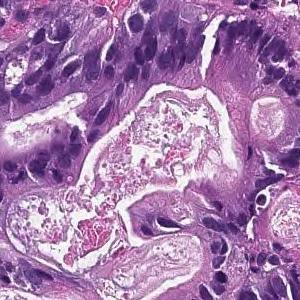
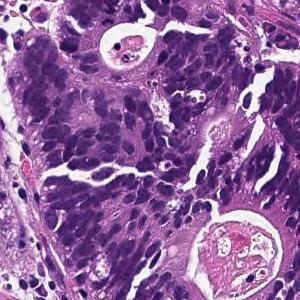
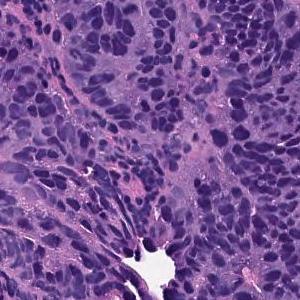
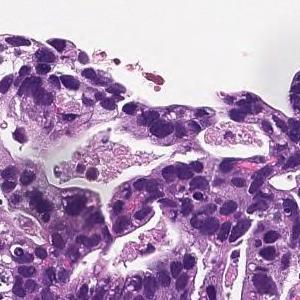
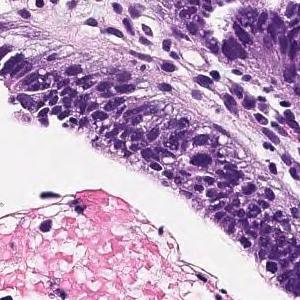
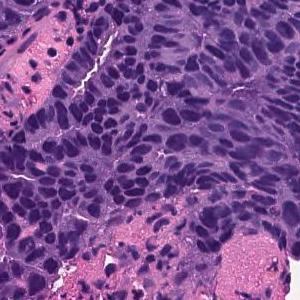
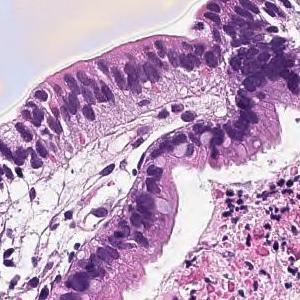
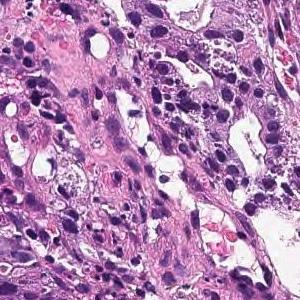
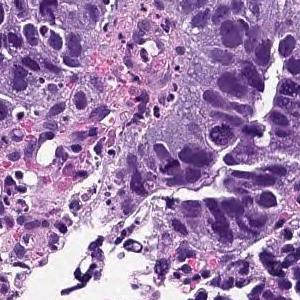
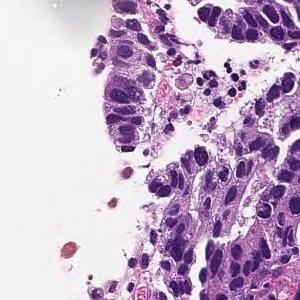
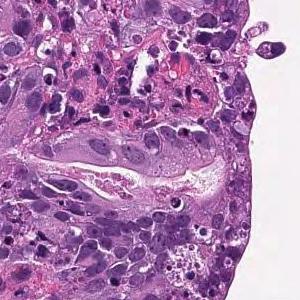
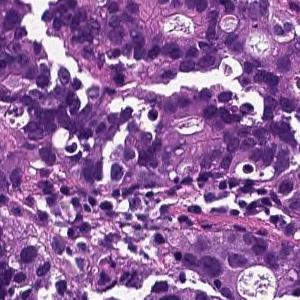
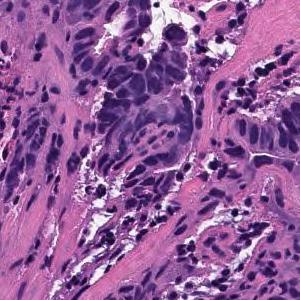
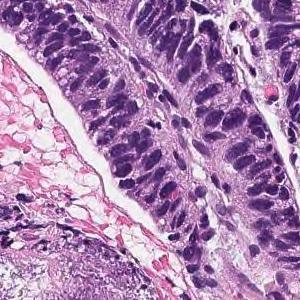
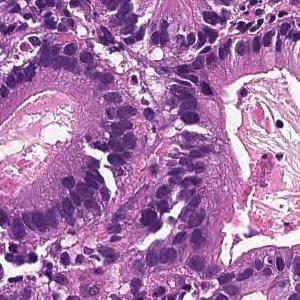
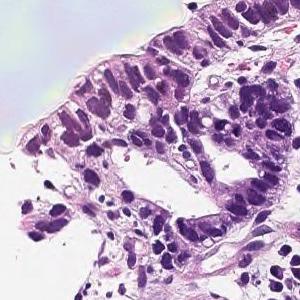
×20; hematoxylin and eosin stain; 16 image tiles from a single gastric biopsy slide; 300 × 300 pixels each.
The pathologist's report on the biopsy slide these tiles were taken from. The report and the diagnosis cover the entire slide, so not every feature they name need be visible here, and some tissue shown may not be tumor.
In the superficial epithelium, tumor tissue that invades by forming medium-sized to small, irregular ducts is observed. moderately differentiated tubular adenocarcinoma.
